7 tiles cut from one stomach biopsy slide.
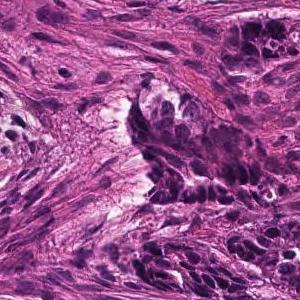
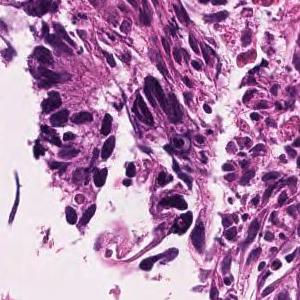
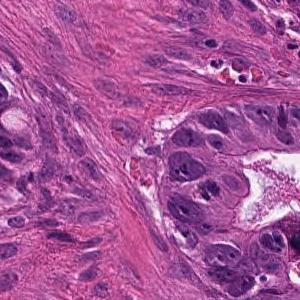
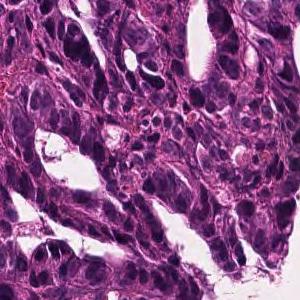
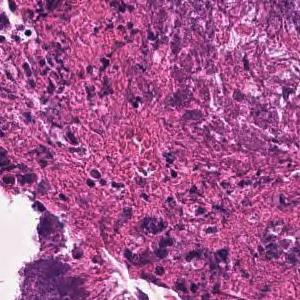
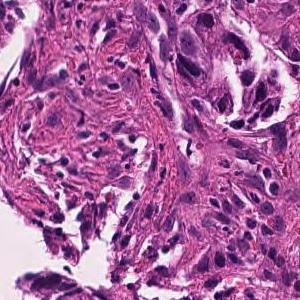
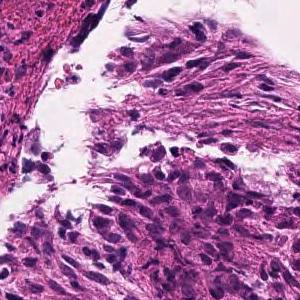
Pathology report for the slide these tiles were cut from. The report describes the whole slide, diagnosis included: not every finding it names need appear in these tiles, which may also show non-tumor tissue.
In the superficial epithelium, tumor tissue that invades by forming medium-sized to small, irregular ducts is observed. moderately differentiated tubular adenocarcinoma.
